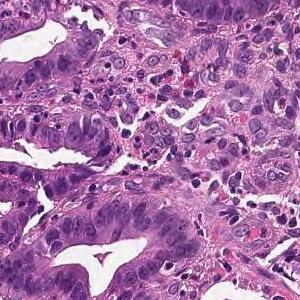
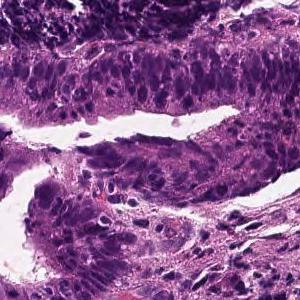
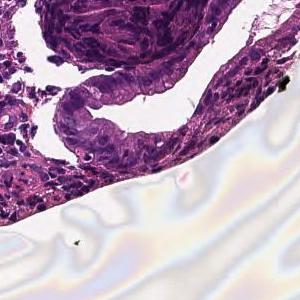
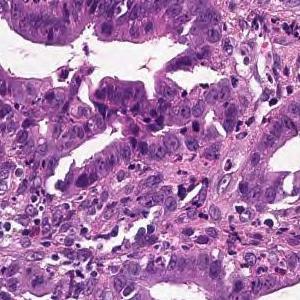
Scanned at ×20 · 4 tiles from the same stomach biopsy slide · 300 × 300 pixels each.
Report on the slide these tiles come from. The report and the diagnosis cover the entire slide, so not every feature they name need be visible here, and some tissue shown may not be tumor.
From the superficial epithelium to the muscularis mucosae, tumor tissue consisting of medium-sized and irregular glandular ducts infiltrating is observed. Well differentiated tubular adenocarcinoma
